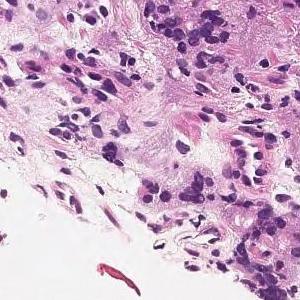
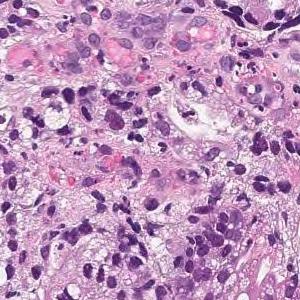
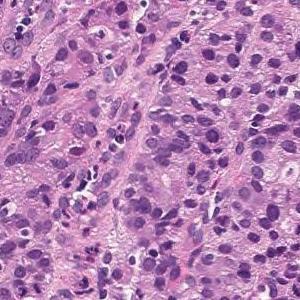
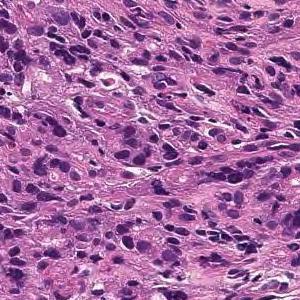
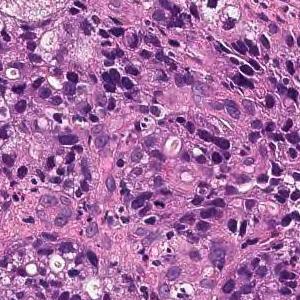
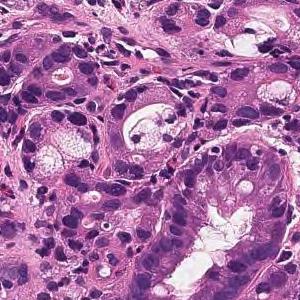
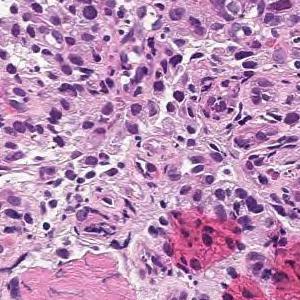
7 image tiles from a single gastric biopsy slide, 20× magnification.
Diagnostic report for the slide these tiles come from. The report describes the whole slide, diagnosis included: not every finding it names need appear in these tiles, which may also show non-tumor tissue.
In the superficial epithelium, medium to small irregular gland ducts are formed, and in some cases, the ducts are fused to show solid alveolar lesions and infiltrating tumor tissue is observed. moderately differentiated tubular adenocarcinoma or poorly differentiated adenocarcinoma, solid-type (poorly differentiated adenocarcinoma, solid type)
Labeled in the dataset as poorly differentiated adenocarcinoma, solid type (Japanese Classification of Gastric Carcinoma). The WHO 2019 equivalent is tubular adenocarcinoma, poorly differentiated.
